Scanned at ×20, 4 image tiles from a single gastric biopsy slide, 300 × 300 pixels each.
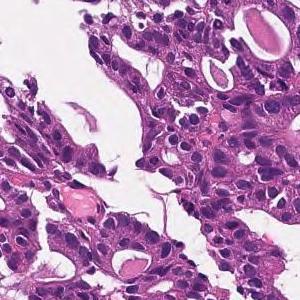
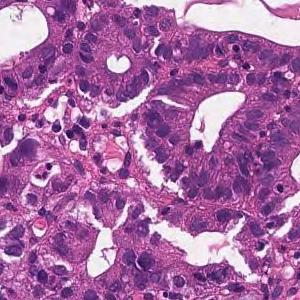
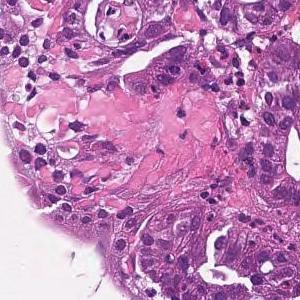
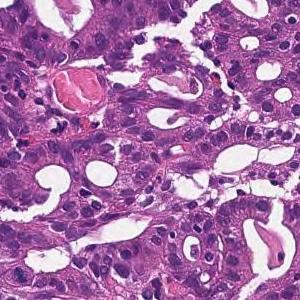
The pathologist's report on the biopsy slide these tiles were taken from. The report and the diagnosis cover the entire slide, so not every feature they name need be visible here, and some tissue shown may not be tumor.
On the superficial epithelium, tumor tissue consisting of medium-sized irregular glandular ducts partially fused and infiltrated is observed. Well to moderately differentiated tubular adenocarcinoma (well differentiated tubular adenocarcinoma-moderately differentiated tubular adenocarcinoma)
Classified as well to moderately differentiated tubular adenocarcinoma.
